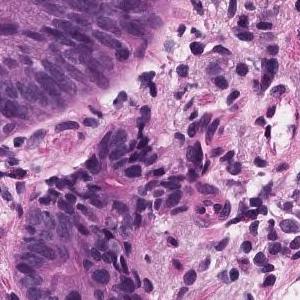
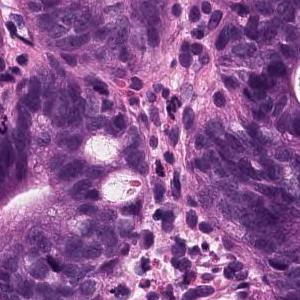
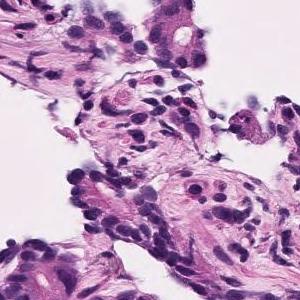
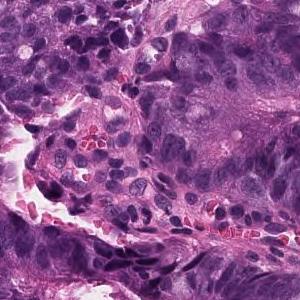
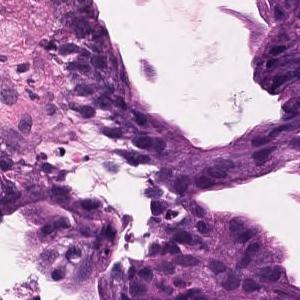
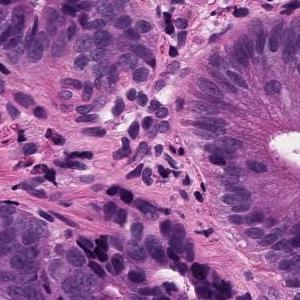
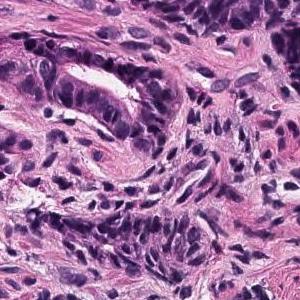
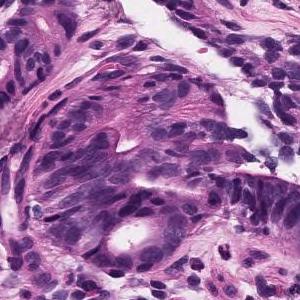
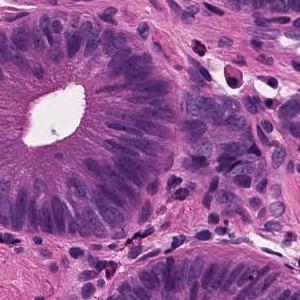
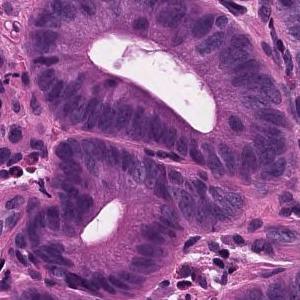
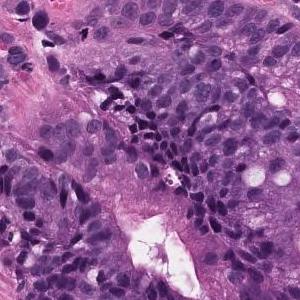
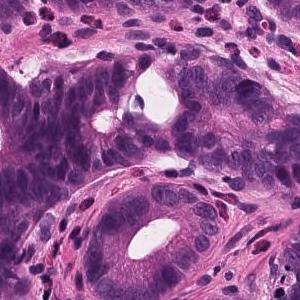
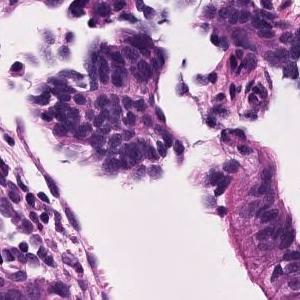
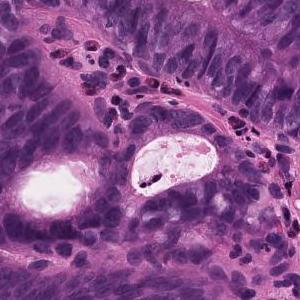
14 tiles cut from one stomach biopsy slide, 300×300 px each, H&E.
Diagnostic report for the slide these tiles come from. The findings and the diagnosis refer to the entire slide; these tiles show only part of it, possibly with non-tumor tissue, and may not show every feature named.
Atypical ducts proliferating while irregularly fusing in the lateral direction is observed. Well differentiated tubular adenocarcinoma
